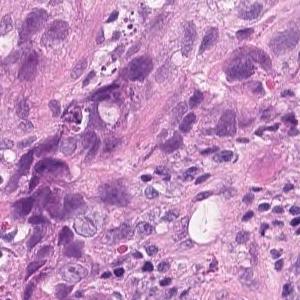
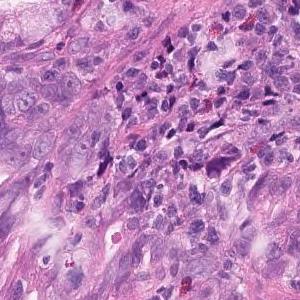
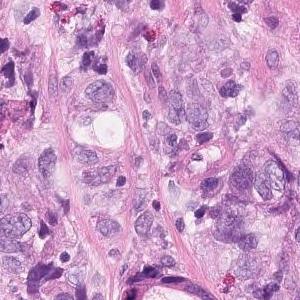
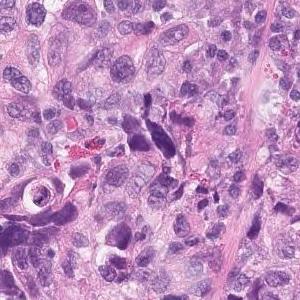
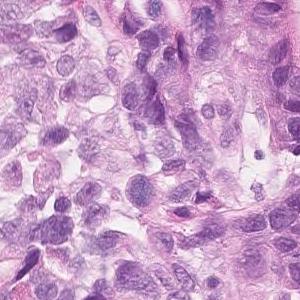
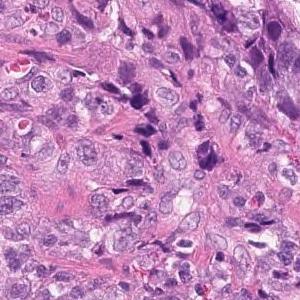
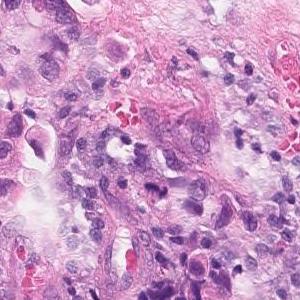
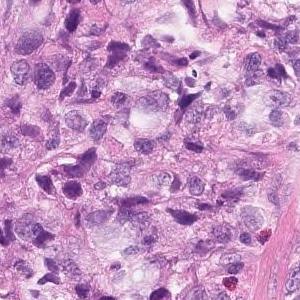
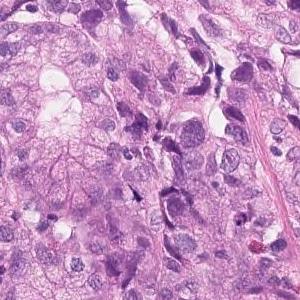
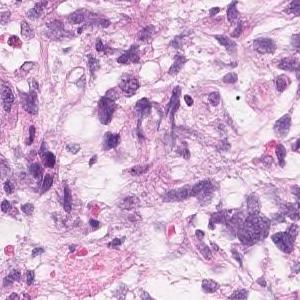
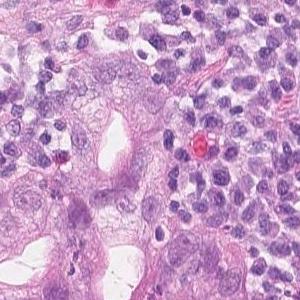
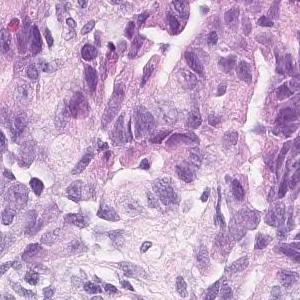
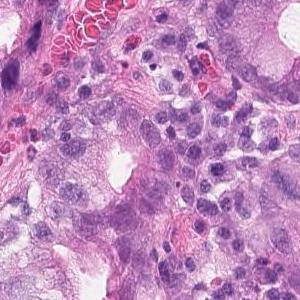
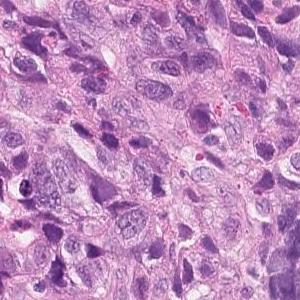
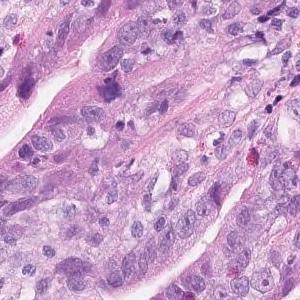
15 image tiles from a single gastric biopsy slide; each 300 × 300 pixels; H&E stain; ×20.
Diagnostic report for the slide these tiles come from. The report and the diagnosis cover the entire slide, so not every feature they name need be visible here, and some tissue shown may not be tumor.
Tumor tissue showing dense, fused or diffuse, and infiltrative growth of small atypical ducts is observed. moderately differentiated tubular adenocarcinoma
